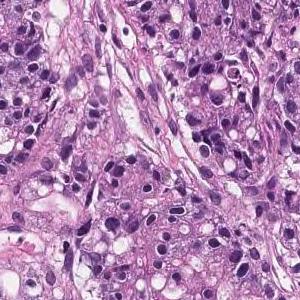
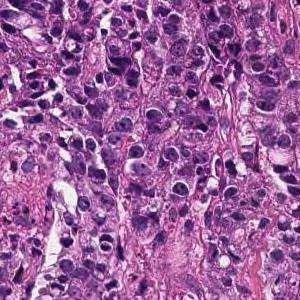
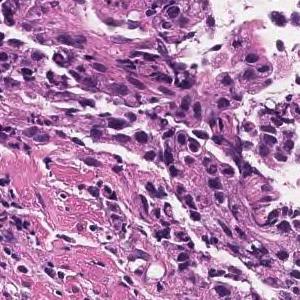
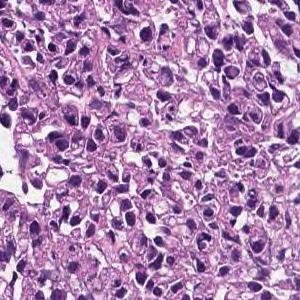
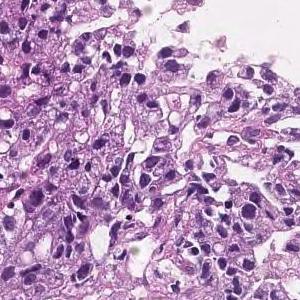
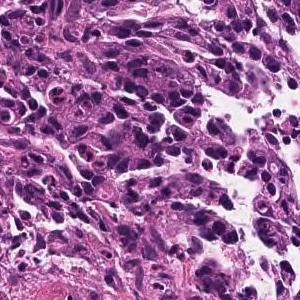
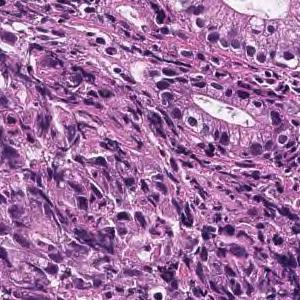
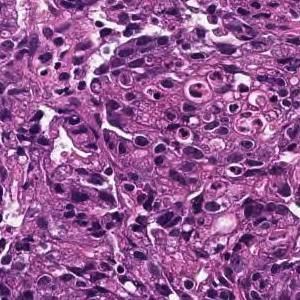
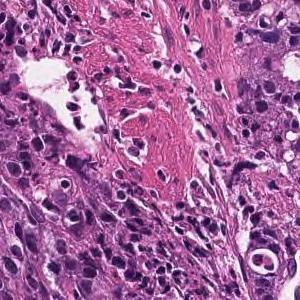
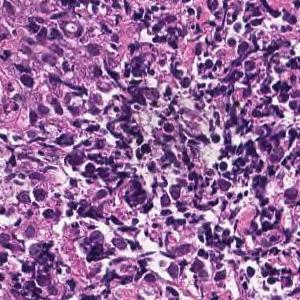
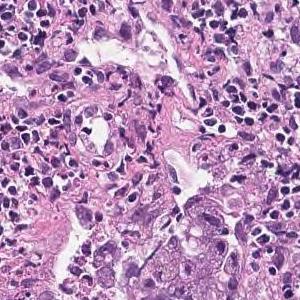
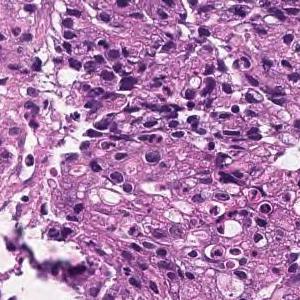
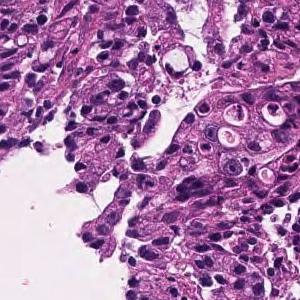
Hematoxylin and eosin stain; 13 patches cut from one gastric biopsy slide; 300×300 px each.
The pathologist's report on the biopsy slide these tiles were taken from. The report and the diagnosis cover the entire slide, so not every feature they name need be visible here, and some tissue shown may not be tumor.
Medium to small, irregular glandular ducts are formed in the superficial epithelium, and in some cases, the glandular ducts are fused to show solid alveolar lesions and infiltrating tumor tissue is observed. Moderately to poorly differentiated adenocarcinoma.
